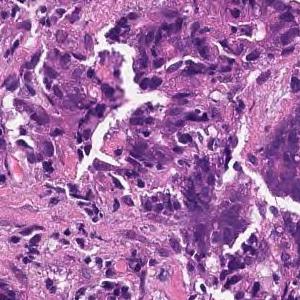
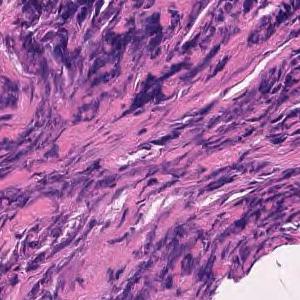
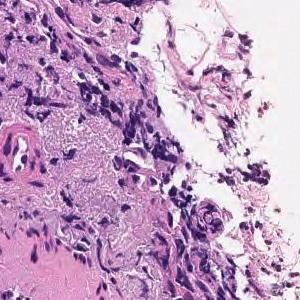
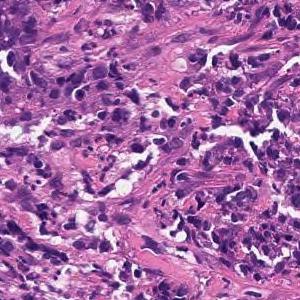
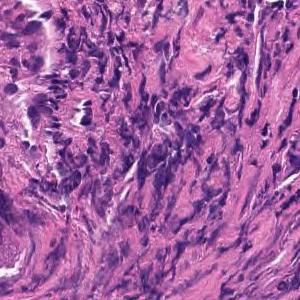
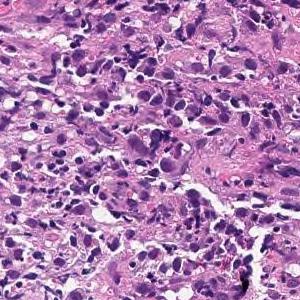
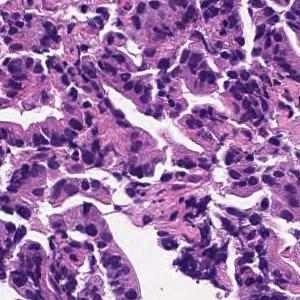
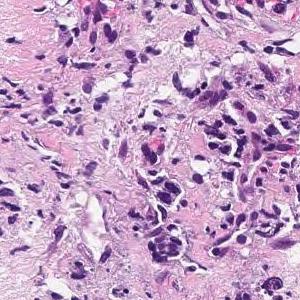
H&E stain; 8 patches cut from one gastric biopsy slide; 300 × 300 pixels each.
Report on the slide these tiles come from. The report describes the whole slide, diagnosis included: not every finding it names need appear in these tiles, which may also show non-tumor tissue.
Tumor tissue consisting of medium-sized, cord-like or irregular glandular infiltration is observed in the superficial epithelium. Poorly differentiated adenocarcinoma, non-solid type or moderately differentiated tubular adenocarcinoma
Histological subtype: Moderately to poorly differentiated adenocarcinoma.
The non-solid type named here is a Japanese Classification of Gastric Carcinoma category.
